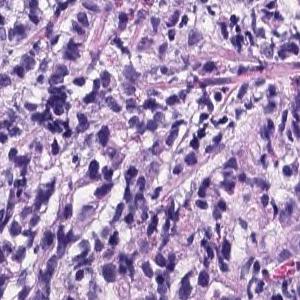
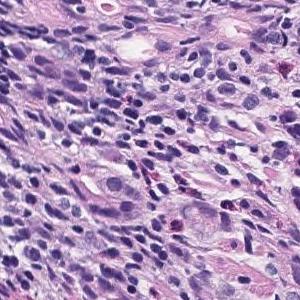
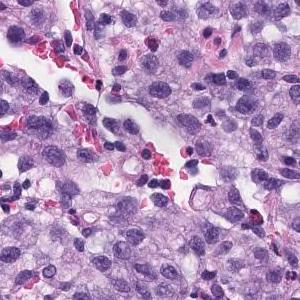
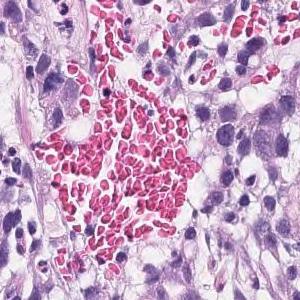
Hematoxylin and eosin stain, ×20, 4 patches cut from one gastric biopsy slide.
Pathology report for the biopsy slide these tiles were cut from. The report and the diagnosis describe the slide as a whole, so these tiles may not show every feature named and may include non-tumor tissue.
There are atypical l cells with atypical nuclei forming cord-like or irregular atypical ducts from solidity and proliferating in a comprehensive manner. Poorly differentiated adenocarcinoma, Moderately differentiated adenocarcinoma (poorly differentiated adenocarcinoma, solid type moderately differentiated tubular adenocarcinoma)
Classified as moderately to poorly differentiated adenocarcinoma.
"Solid type" is a category of the Japanese Classification of Gastric Carcinoma; in the WHO 2019 classification it is tubular adenocarcinoma, poorly differentiated.
